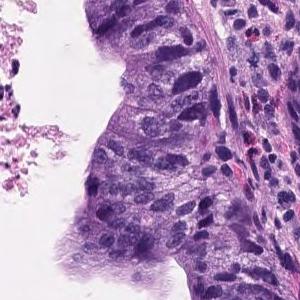
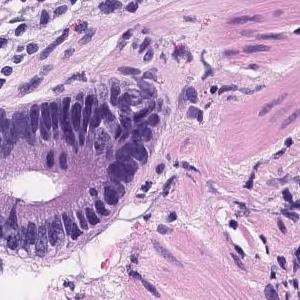
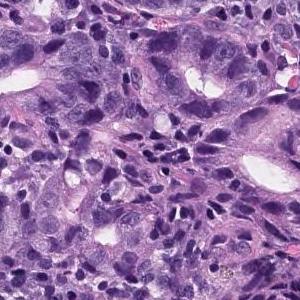
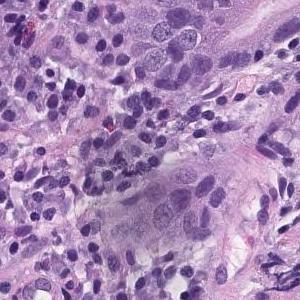
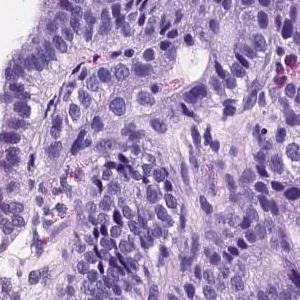
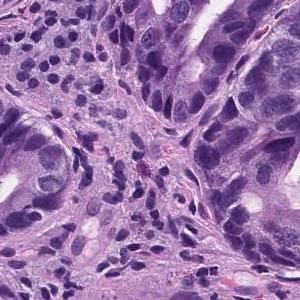
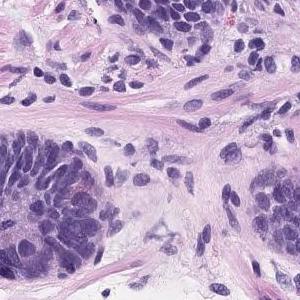
7 patches cut from one gastric biopsy slide; scanned at ×20; H&E stain.
The pathologist's report on the biopsy slide these tiles were taken from. The report and the diagnosis cover the entire slide, so not every feature they name need be visible here, and some tissue shown may not be tumor.
Tumor tissue consisting of medium-sized and irregular ducts is observed infiltrating in the superficial epithelium. Tumor cells are highly columnar, with nuclei aligned basolaterally and polarized. Well differentiated tubular adenocarcinoma.
